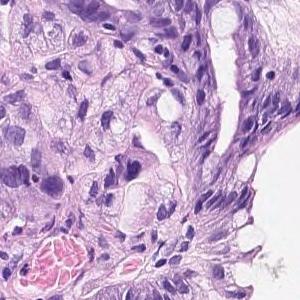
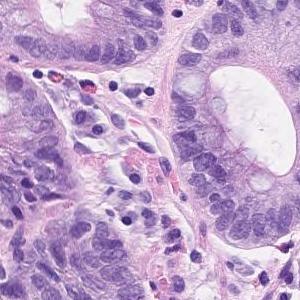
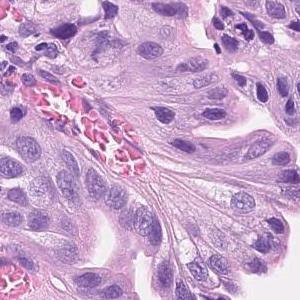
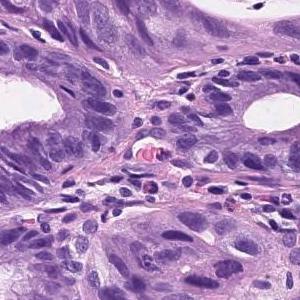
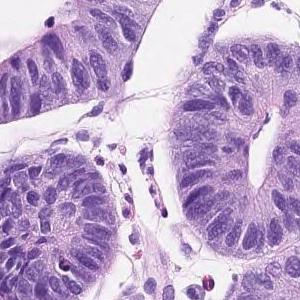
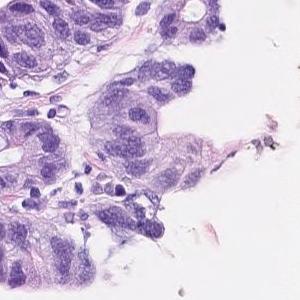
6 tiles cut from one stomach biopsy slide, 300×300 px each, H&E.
Report on the slide these tiles come from. The report and the diagnosis cover the entire slide, so not every feature they name need be visible here, and some tissue shown may not be tumor.
Tumor tissue consisting of medium-sized and irregular ducts is observed infiltrating in the superficial epithelium. Tumor cells are highly columnar, with nuclei aligned basolaterally and polarized. Well differentiated tubular adenocarcinoma.
